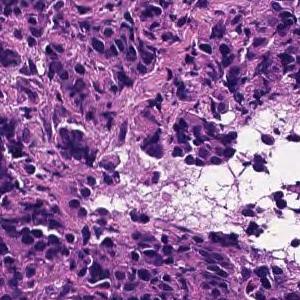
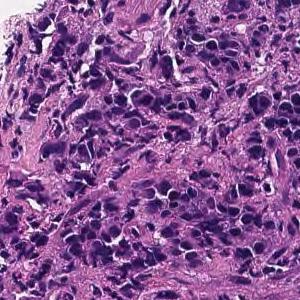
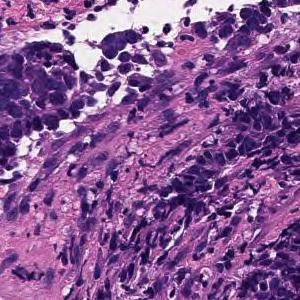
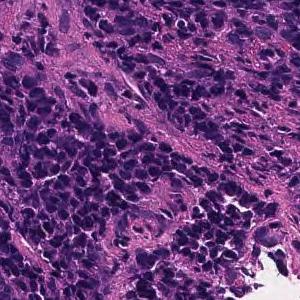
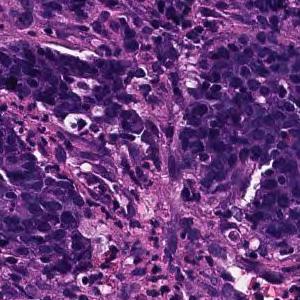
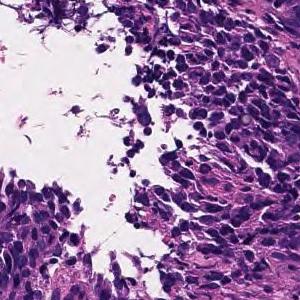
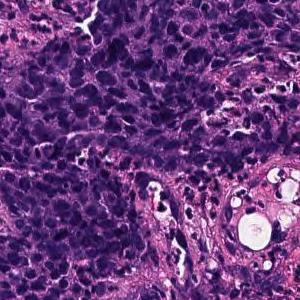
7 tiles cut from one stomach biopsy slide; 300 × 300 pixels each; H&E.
Report on the slide these tiles come from. The report and the diagnosis cover the entire slide, so not every feature they name need be visible here, and some tissue shown may not be tumor.
Tumor tissue consisting of cord-like or small, irregular glandular ducts fused and infiltrated is observed in the superficial epithelium. Poorly differentiated adenocarcinoma, non-solid type
"Non-solid type" is a category of the Japanese Classification of Gastric Carcinoma.
